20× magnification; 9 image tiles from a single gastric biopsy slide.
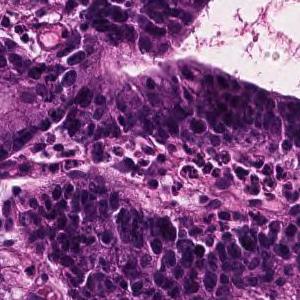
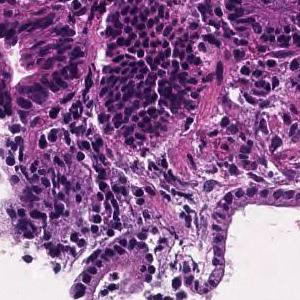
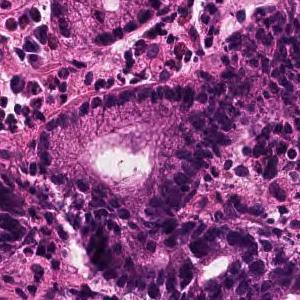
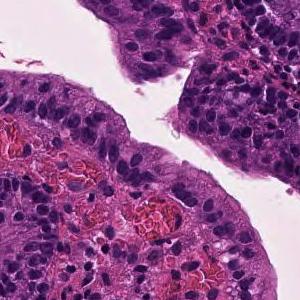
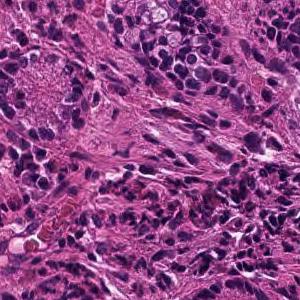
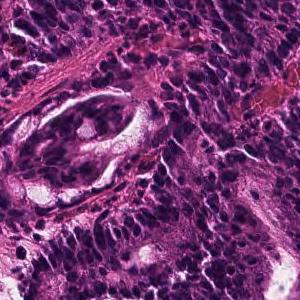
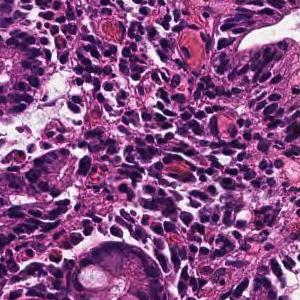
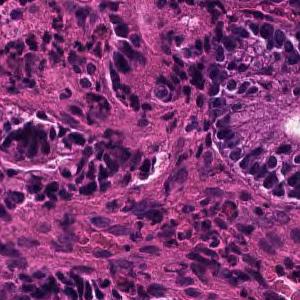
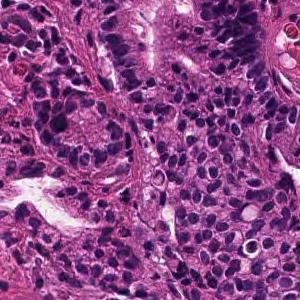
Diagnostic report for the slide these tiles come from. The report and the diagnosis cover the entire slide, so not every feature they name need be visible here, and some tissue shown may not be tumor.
In the superficial epithelium, tumor tissue that invades by forming medium-sized to small, irregular ducts is observed. moderately differentiated tubular adenocarcinoma.
